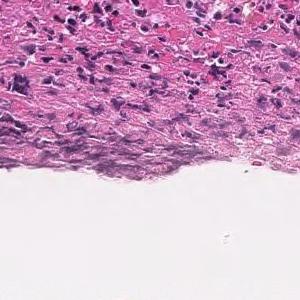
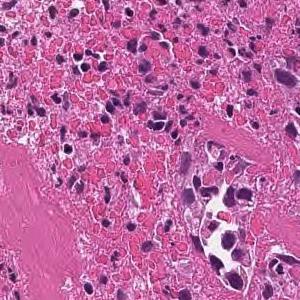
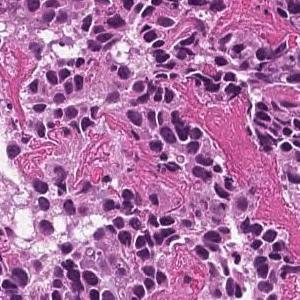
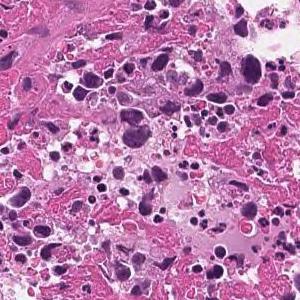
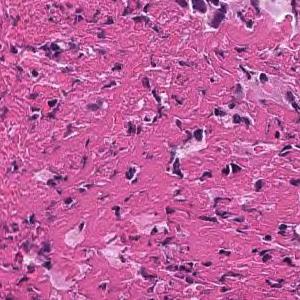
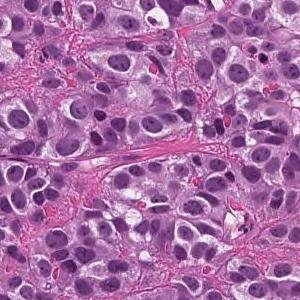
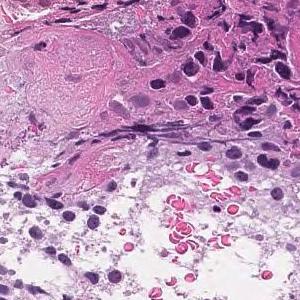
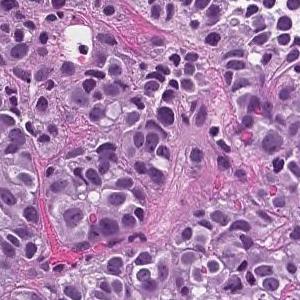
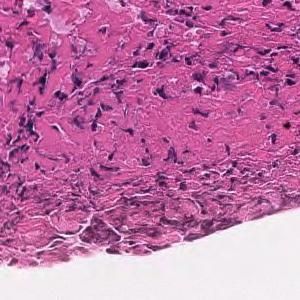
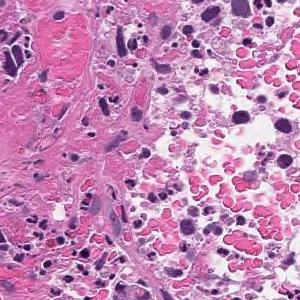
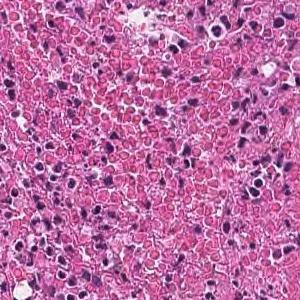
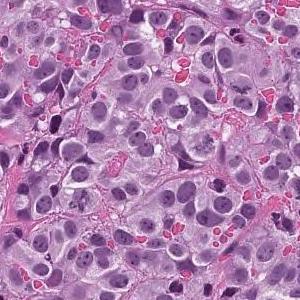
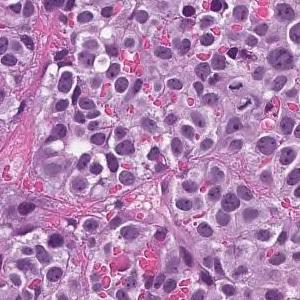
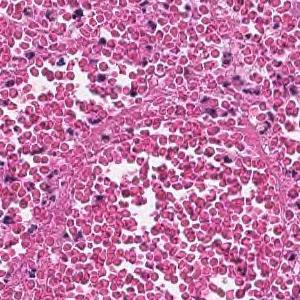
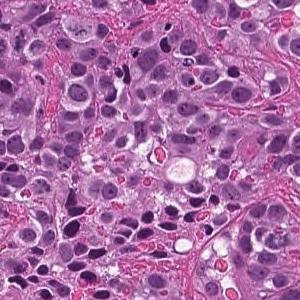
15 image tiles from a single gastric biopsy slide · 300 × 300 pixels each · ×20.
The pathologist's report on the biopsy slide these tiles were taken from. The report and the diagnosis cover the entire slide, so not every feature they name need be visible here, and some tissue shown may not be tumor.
The superficial epithelium shows a large sheet-like shape, and some tumor tissue infiltrates with small irregular ducts. Poorly differentiated adenocarcinoma, solid-type
Histologic type: Poorly differentiated adenocarcinoma, solid type (Japanese Classification of Gastric Carcinoma). The WHO 2019 equivalent is tubular adenocarcinoma, poorly differentiated.
